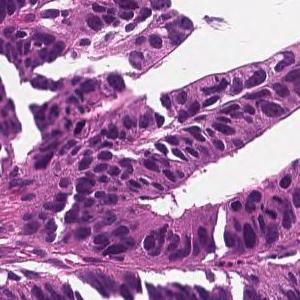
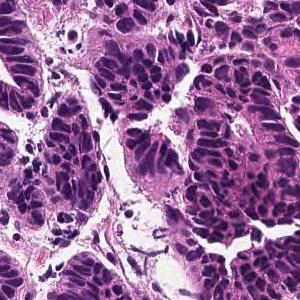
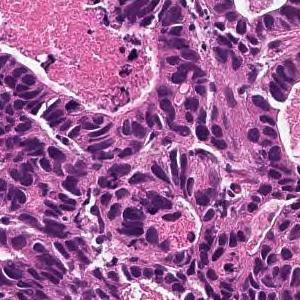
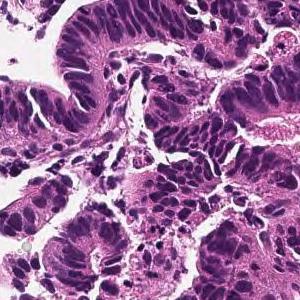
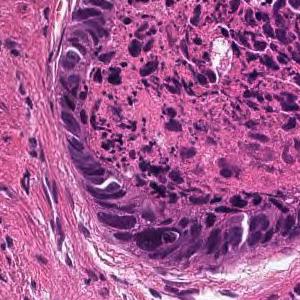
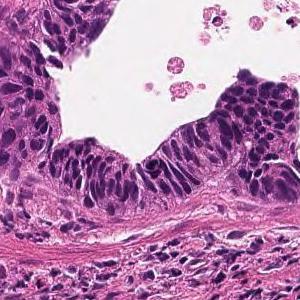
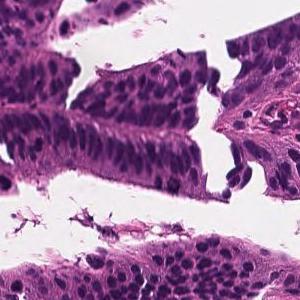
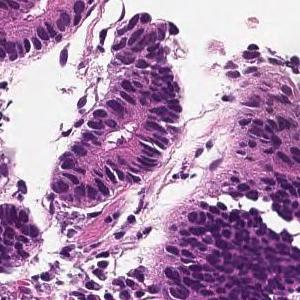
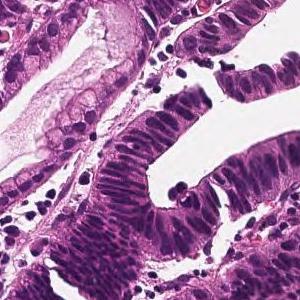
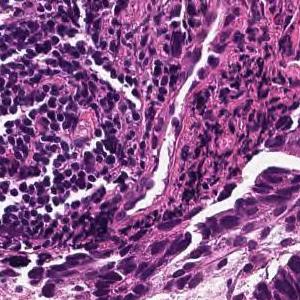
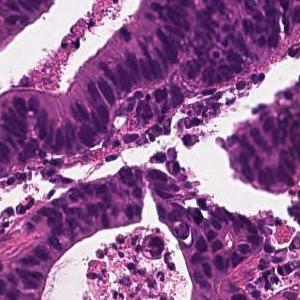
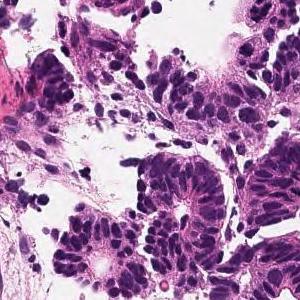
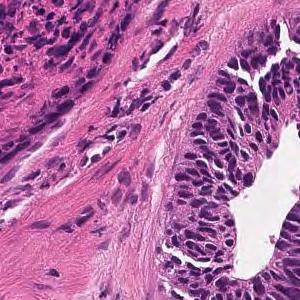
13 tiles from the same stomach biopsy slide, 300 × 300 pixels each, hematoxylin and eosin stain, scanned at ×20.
Diagnostic report for the slide these tiles come from. The report and the diagnosis cover the entire slide, so not every feature they name need be visible here, and some tissue shown may not be tumor.
From the superficial epithelium to the muscularis mucosae, tumor tissue consisting of medium-sized and irregular glandular ducts infiltrating is observed. Well differentiated tubular adenocarcinoma
